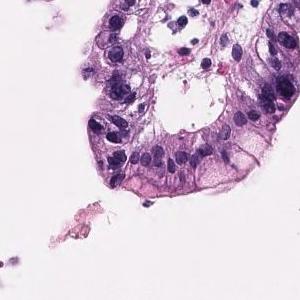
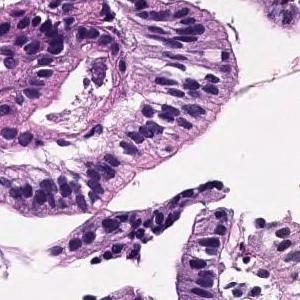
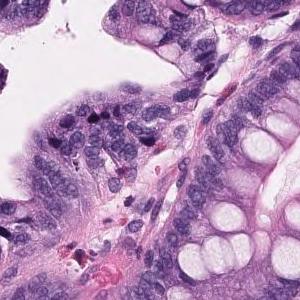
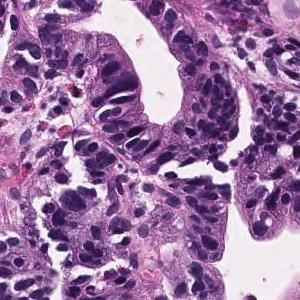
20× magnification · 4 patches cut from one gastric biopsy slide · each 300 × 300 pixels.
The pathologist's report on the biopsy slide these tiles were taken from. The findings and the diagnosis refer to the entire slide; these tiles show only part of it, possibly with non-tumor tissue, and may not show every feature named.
Tumor cells are large, highly columnar, large club-shaped nuclei, and are associated with chromatin aggregation. Papillary adenocarcinoma.
